Hematoxylin and eosin stain · 20× magnification · 14 tiles cut from one stomach biopsy slide.
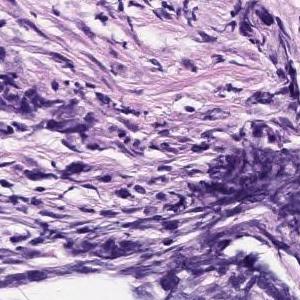
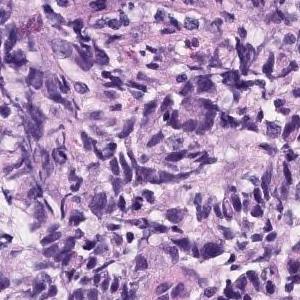
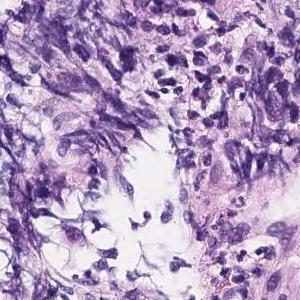
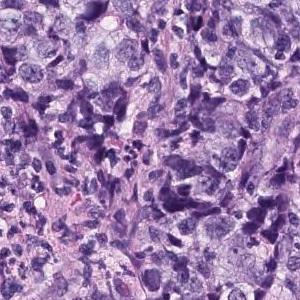
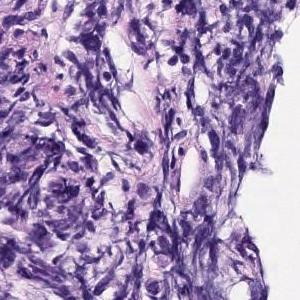
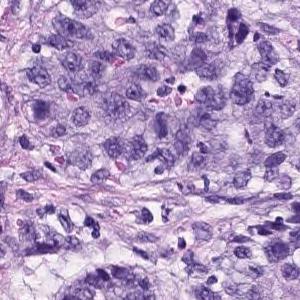
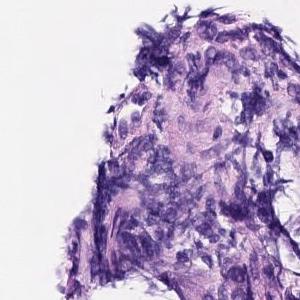
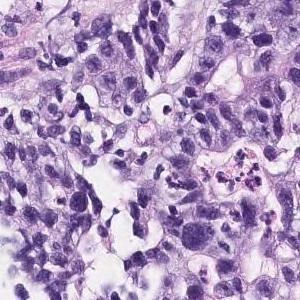
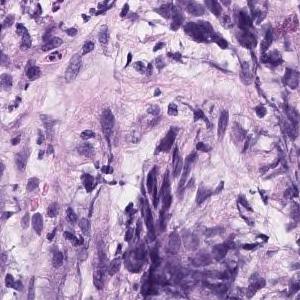
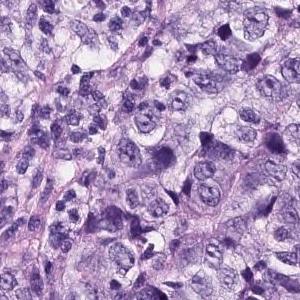
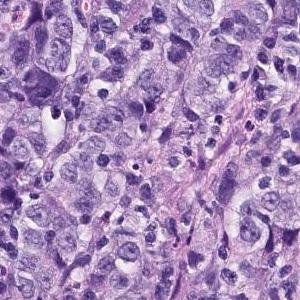
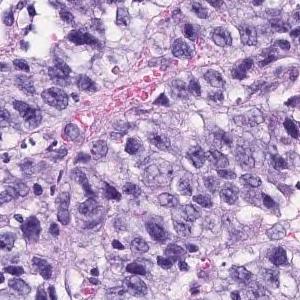
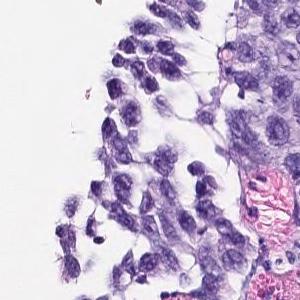
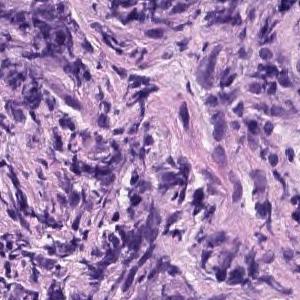
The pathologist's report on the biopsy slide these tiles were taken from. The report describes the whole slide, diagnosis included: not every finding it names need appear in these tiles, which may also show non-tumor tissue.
The superficial epithelium shows a large sheet-like shape, and some tumor tissue infiltrates with small irregular ducts. Poorly differentiated adenocarcinoma, solid-type
Subtype: Poorly differentiated adenocarcinoma, solid type (Japanese Classification of Gastric Carcinoma). The WHO 2019 equivalent is tubular adenocarcinoma, poorly differentiated.
